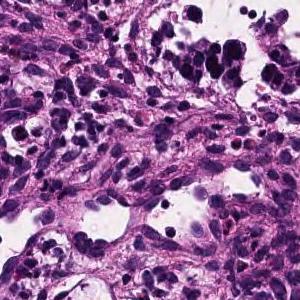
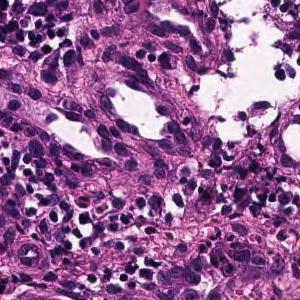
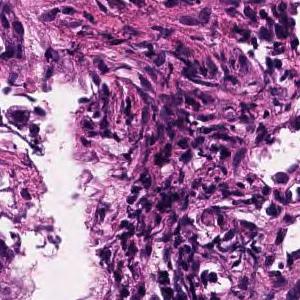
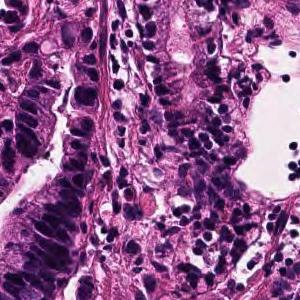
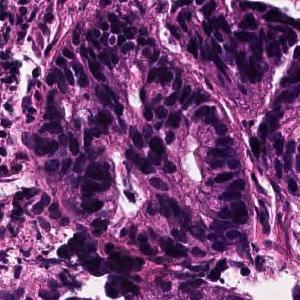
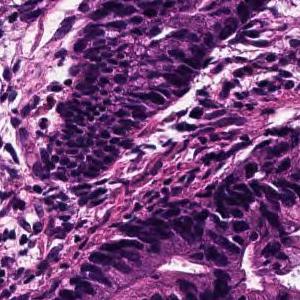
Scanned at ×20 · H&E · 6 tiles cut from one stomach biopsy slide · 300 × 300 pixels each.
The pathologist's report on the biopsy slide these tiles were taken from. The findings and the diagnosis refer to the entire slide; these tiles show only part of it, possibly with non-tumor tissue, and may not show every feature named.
On the superficial epithelium, tumor tissue consisting of large, irregular glandular ducts partially fused and infiltrated is observed. Well to moderately differentiated tubular adenocarcinoma (well differentiated tubular adenocarcinoma, moderately differentiated tubular adenocarcinoma)
Classified as well to moderately differentiated tubular adenocarcinoma.
